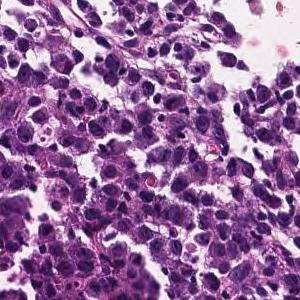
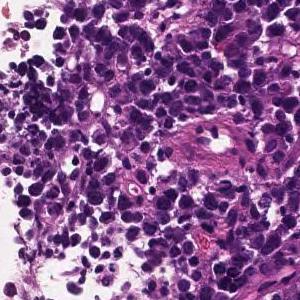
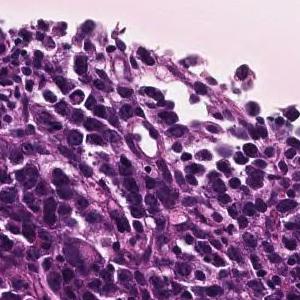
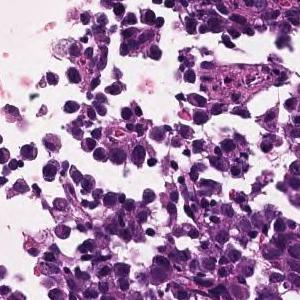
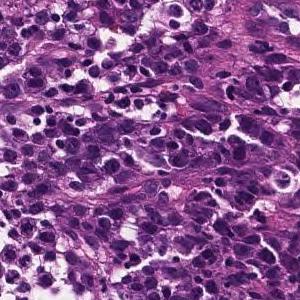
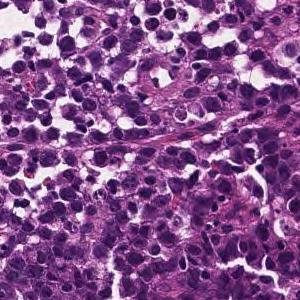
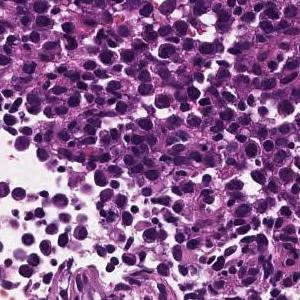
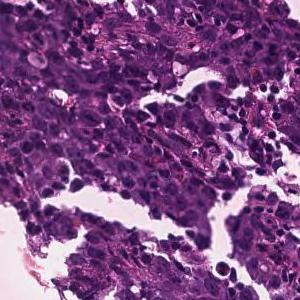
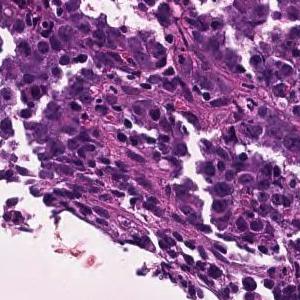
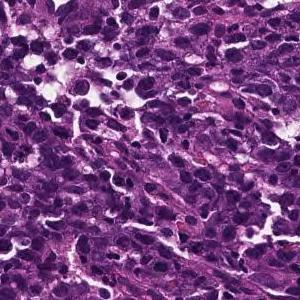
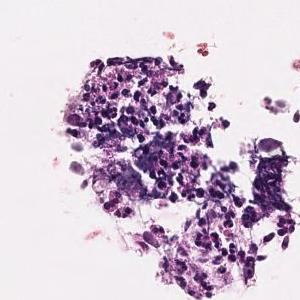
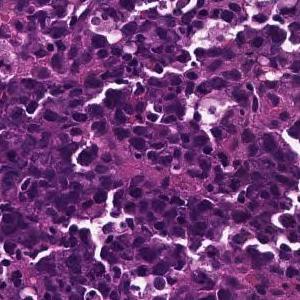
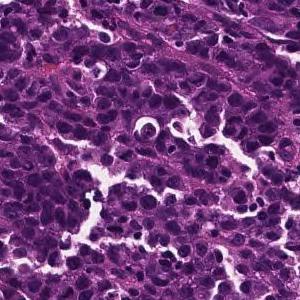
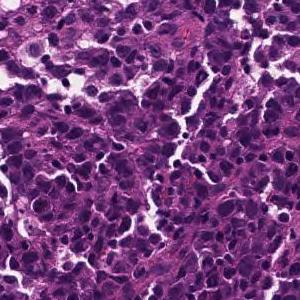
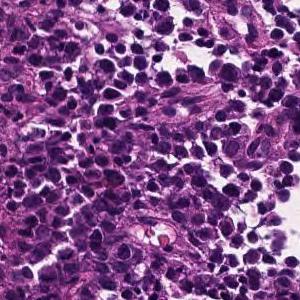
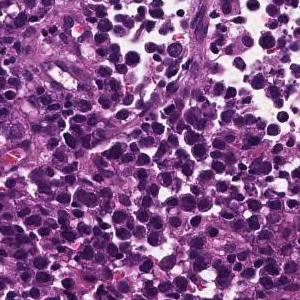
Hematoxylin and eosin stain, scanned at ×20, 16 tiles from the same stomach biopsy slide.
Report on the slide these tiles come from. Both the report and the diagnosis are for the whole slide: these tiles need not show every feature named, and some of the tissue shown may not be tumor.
The superficial epithelium shows a large sheet-like shape, and some tumor tissue infiltrates with small irregular ducts. Poorly differentiated adenocarcinoma, solid-type
Histologic type: Poorly differentiated adenocarcinoma, solid type (Japanese Classification of Gastric Carcinoma). The WHO 2019 equivalent is tubular adenocarcinoma, poorly differentiated.
